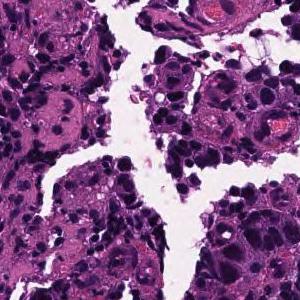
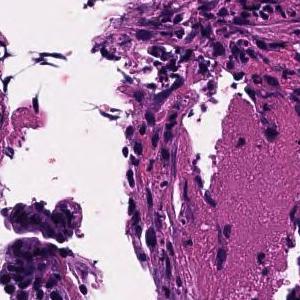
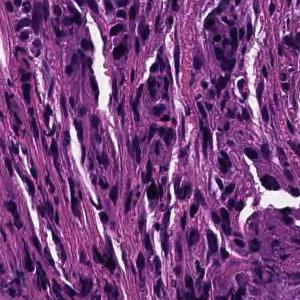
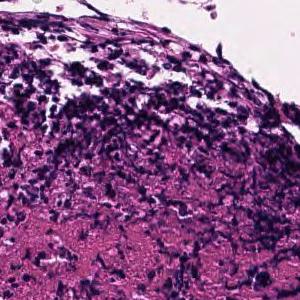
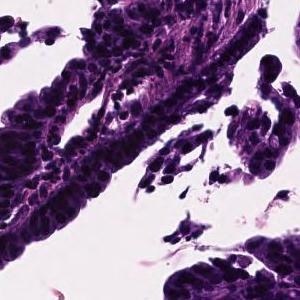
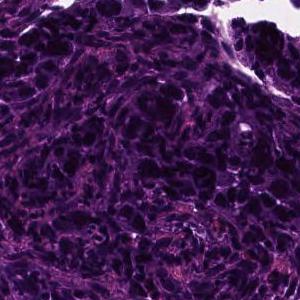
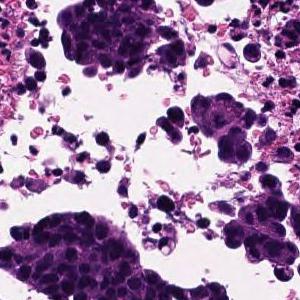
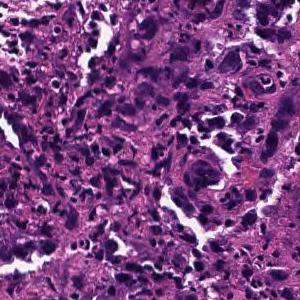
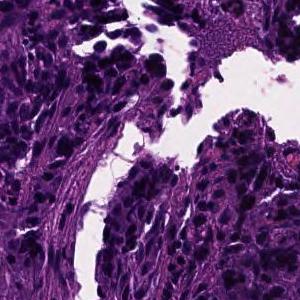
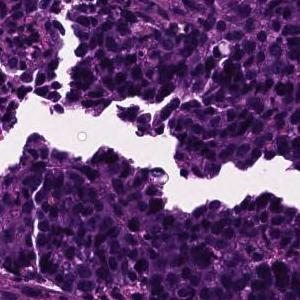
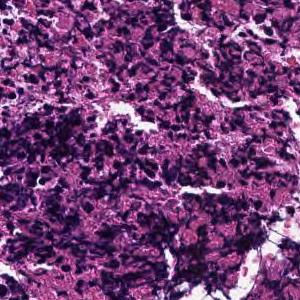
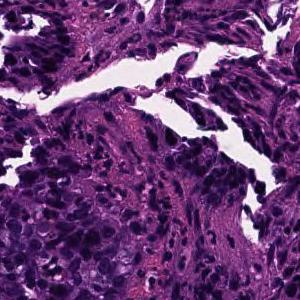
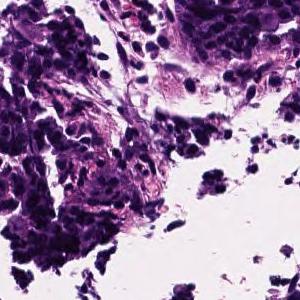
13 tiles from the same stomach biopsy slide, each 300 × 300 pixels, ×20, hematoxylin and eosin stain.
The pathologist's report on the biopsy slide these tiles were taken from. What the report and the diagnosis say applies to the whole slide; these tiles may miss some of the features named and may include tissue that is not tumor.
In the superficial epithelium, tumor tissue that invades by forming medium-sized to small, irregular ducts is observed. moderately differentiated tubular adenocarcinoma.
